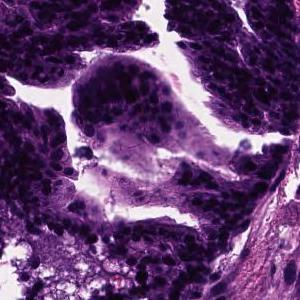
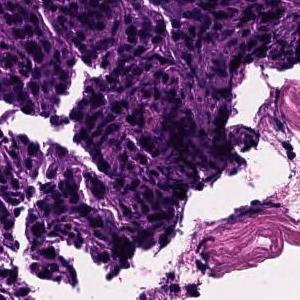
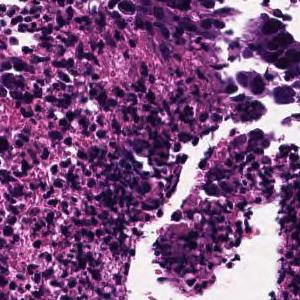
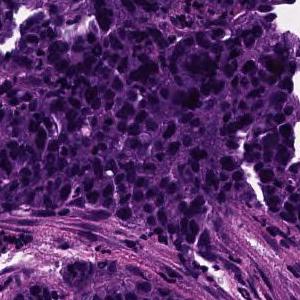
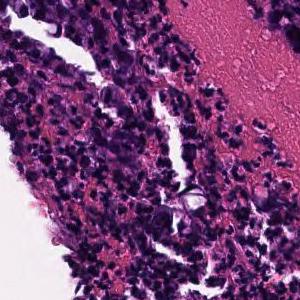
×20; hematoxylin and eosin stain; 5 tiles cut from one stomach biopsy slide.
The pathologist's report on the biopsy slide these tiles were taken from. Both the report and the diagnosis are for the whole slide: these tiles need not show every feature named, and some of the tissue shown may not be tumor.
In the superficial epithelium, tumor tissue that invades by forming medium-sized to small, irregular ducts is observed. moderately differentiated tubular adenocarcinoma.
